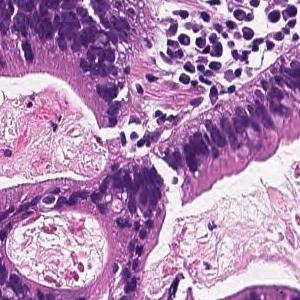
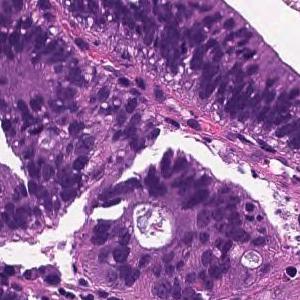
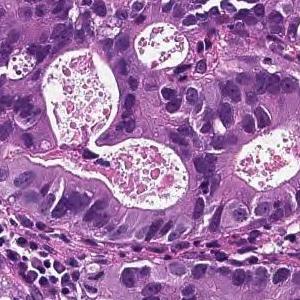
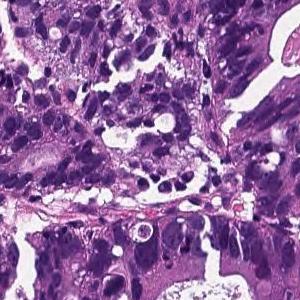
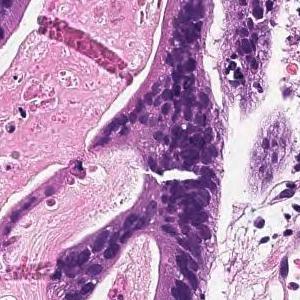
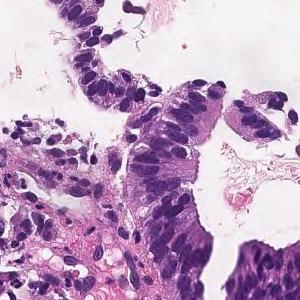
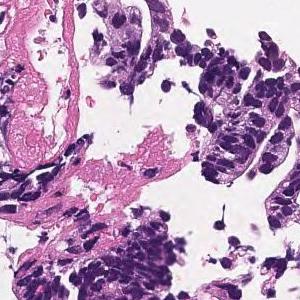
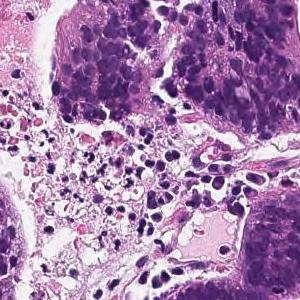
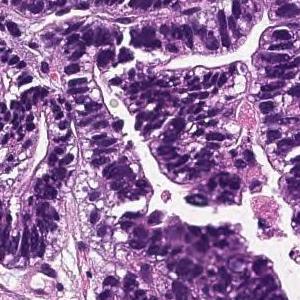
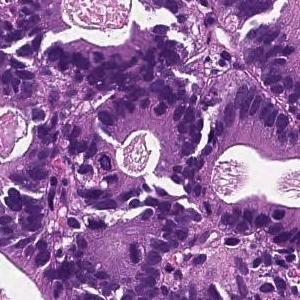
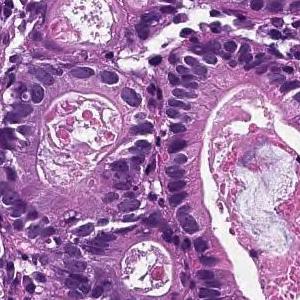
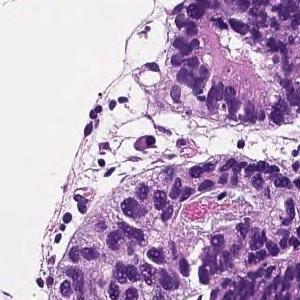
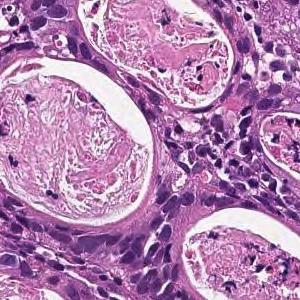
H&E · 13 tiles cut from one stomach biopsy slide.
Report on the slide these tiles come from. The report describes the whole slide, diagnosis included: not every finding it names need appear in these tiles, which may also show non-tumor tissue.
In the superficial epithelium, tumor tissue that invades by forming medium-sized to small, irregular ducts is observed. moderately differentiated tubular adenocarcinoma.
